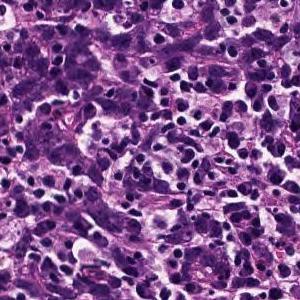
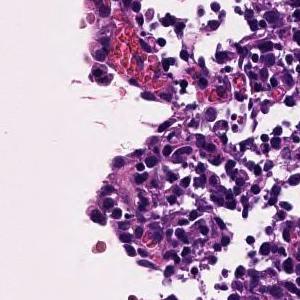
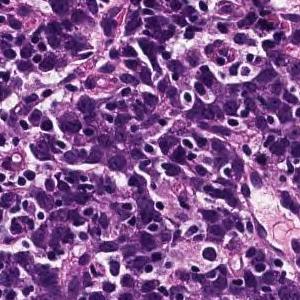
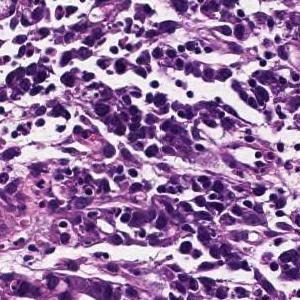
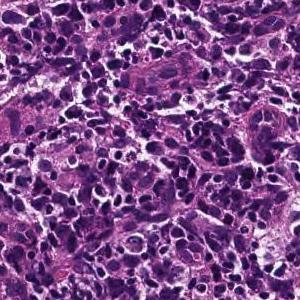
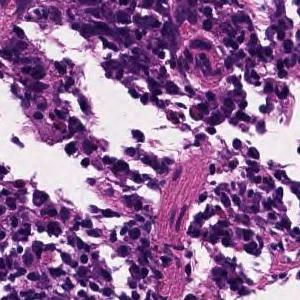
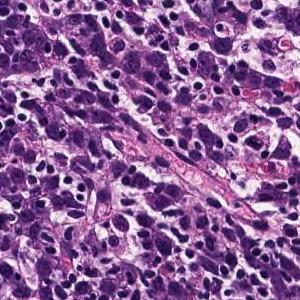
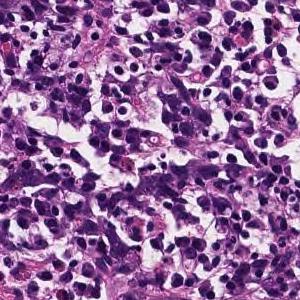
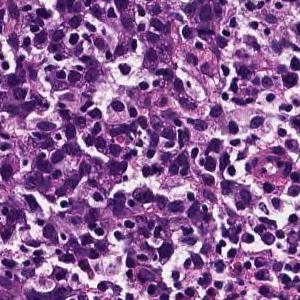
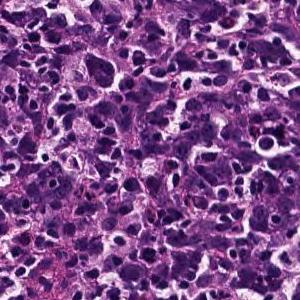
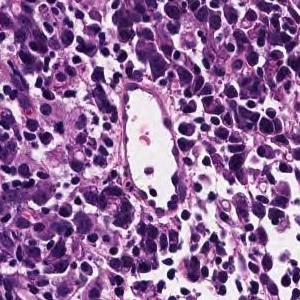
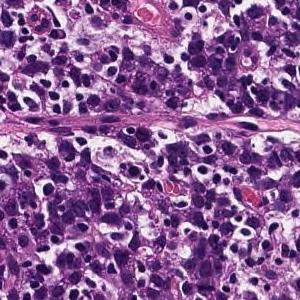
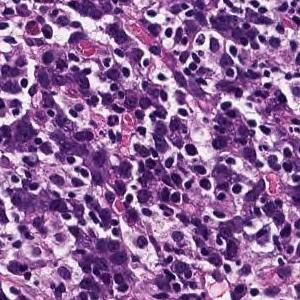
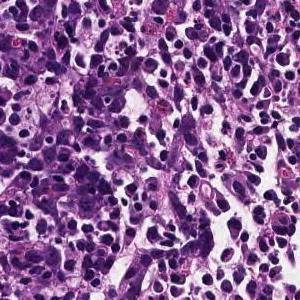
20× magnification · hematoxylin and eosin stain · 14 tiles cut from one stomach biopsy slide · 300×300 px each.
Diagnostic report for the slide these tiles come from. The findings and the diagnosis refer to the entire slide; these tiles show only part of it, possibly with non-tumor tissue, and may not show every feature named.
Tumor tissue consisting of cord-like or small, irregular glandular ducts fused and infiltrated is observed in the superficial epithelium. Poorly differentiated adenocarcinoma, non-solid type
The term "non-solid type" comes from the Japanese Classification of Gastric Carcinoma.
